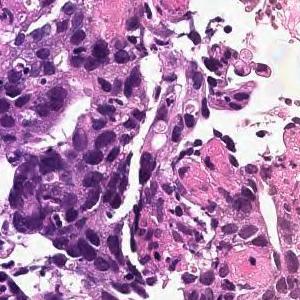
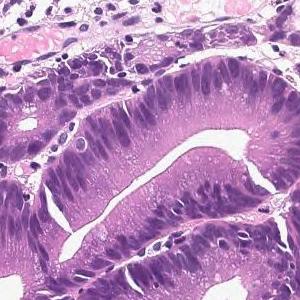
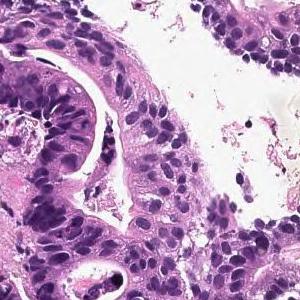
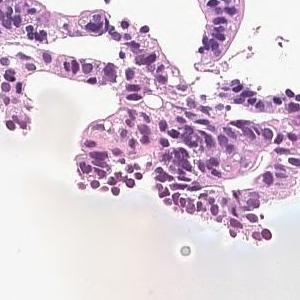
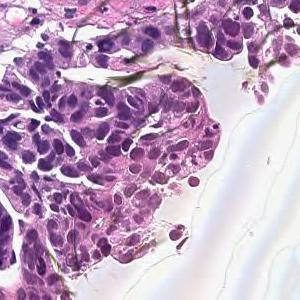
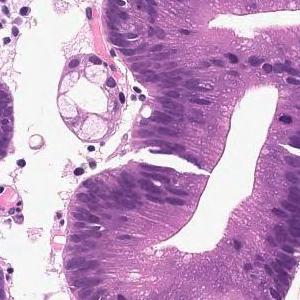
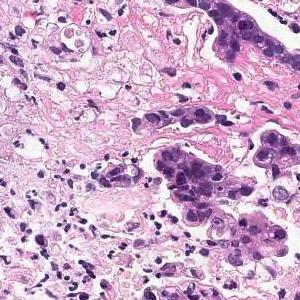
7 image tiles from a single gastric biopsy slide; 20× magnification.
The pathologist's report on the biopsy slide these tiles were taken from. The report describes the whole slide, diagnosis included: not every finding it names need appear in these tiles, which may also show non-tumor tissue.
In the superficial epithelium, tumor tissue that invades by forming medium-sized to small, irregular ducts is observed. moderately differentiated tubular adenocarcinoma.
